20× magnification · H&E stain · 16 tiles cut from one stomach biopsy slide · each 300 × 300 pixels.
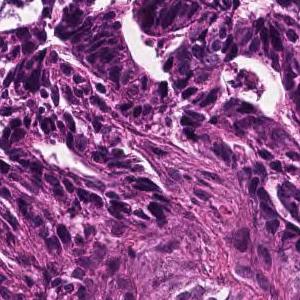
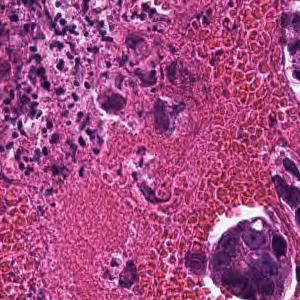
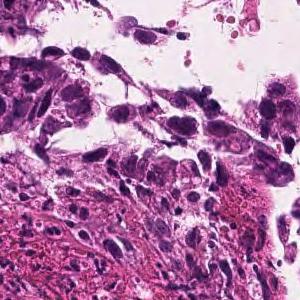
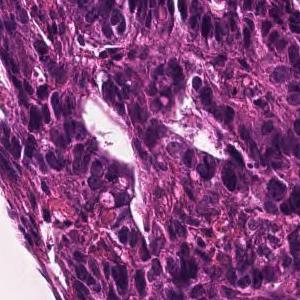
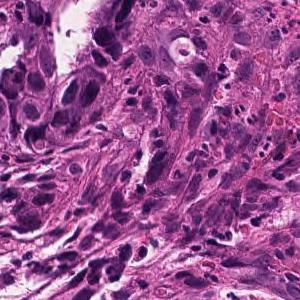
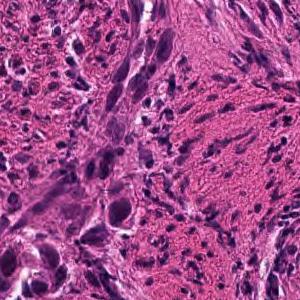
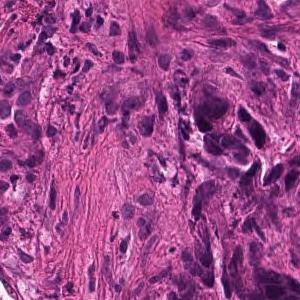
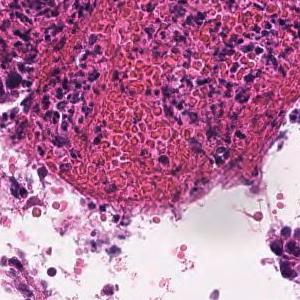
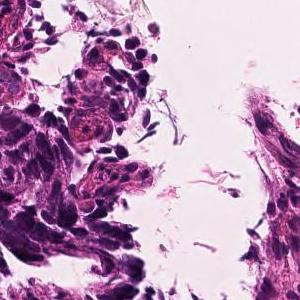
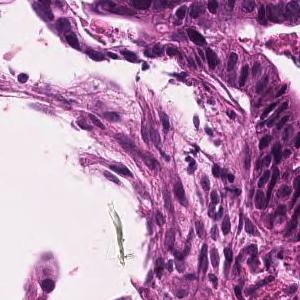
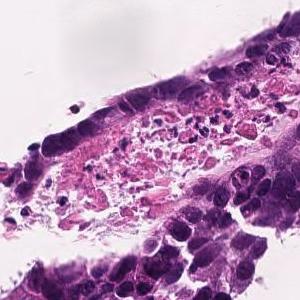
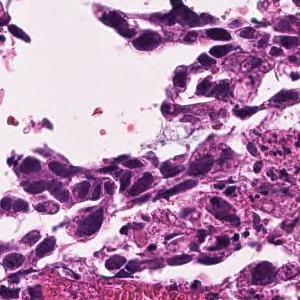
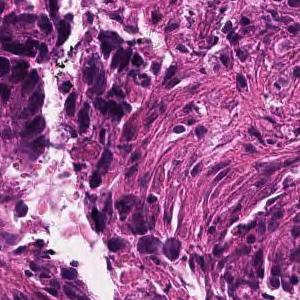
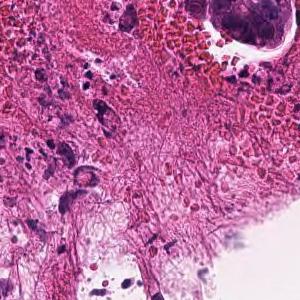
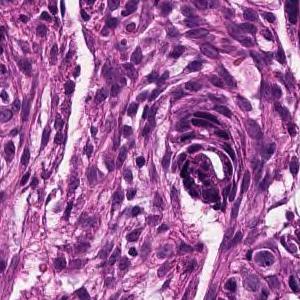
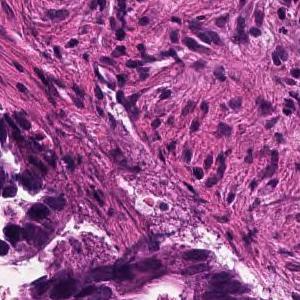
Diagnostic report for the slide these tiles come from. The report and the diagnosis cover the entire slide, so not every feature they name need be visible here, and some tissue shown may not be tumor.
In the superficial epithelium, tumor tissue that invades by forming medium-sized to small, irregular ducts is observed. moderately differentiated tubular adenocarcinoma.
